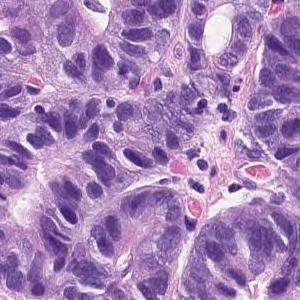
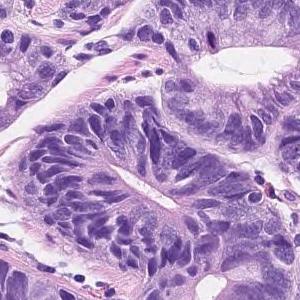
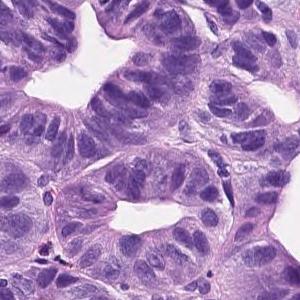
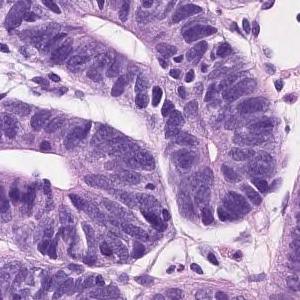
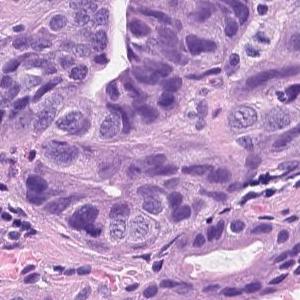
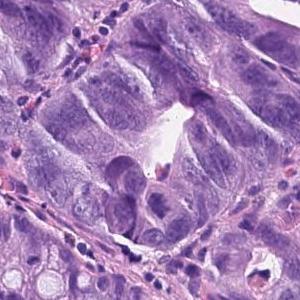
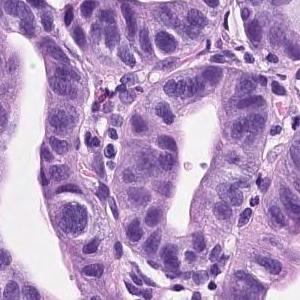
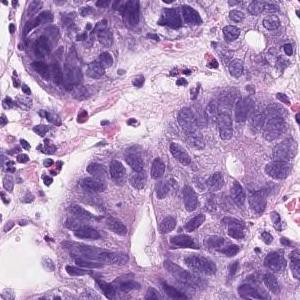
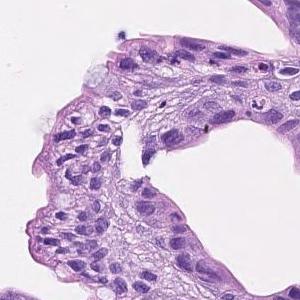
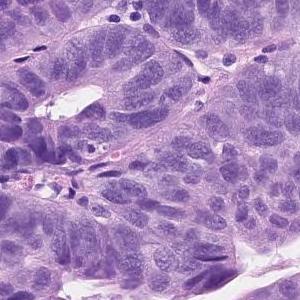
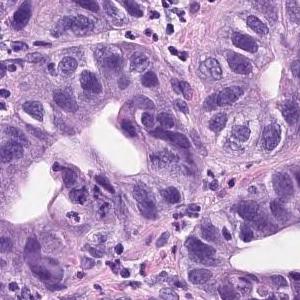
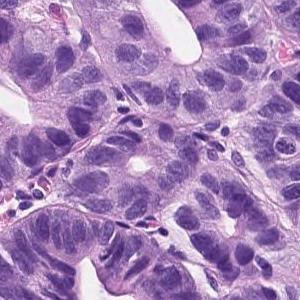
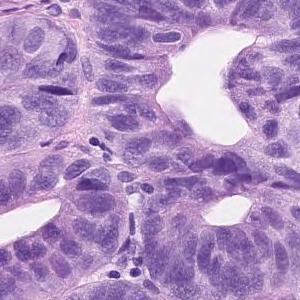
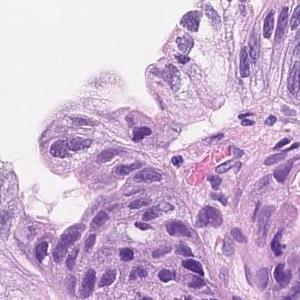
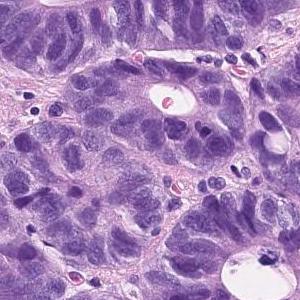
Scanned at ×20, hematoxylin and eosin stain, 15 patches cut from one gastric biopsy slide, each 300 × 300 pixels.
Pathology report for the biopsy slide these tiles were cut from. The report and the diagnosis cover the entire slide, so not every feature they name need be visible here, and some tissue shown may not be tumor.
Tumor tissue consisting of medium-sized and irregular ducts is observed infiltrating in the superficial epithelium. Tumor cells are highly columnar, with nuclei aligned basolaterally and polarized. Well differentiated tubular adenocarcinoma.
